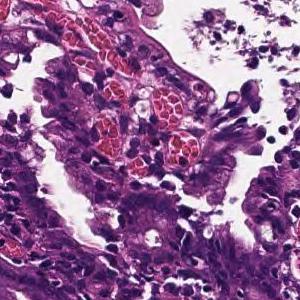
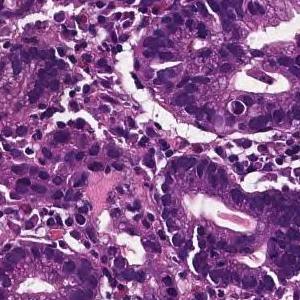
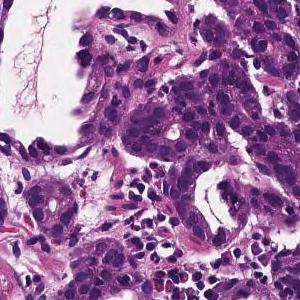
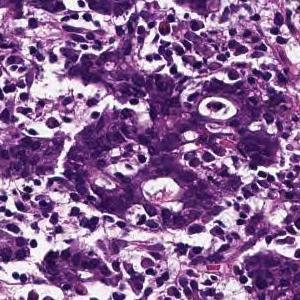
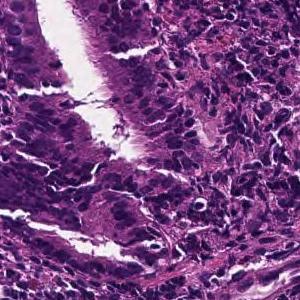
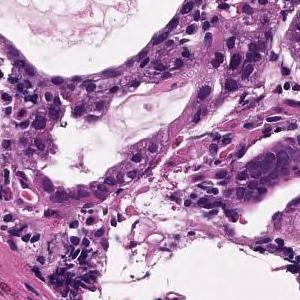
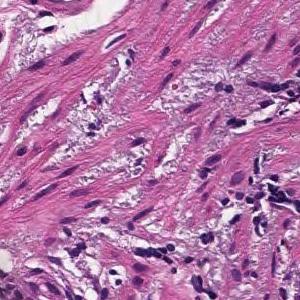
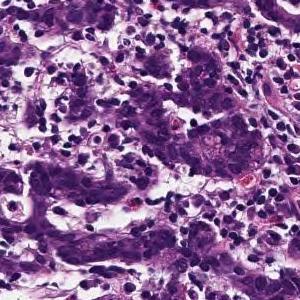
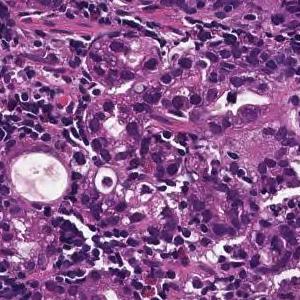
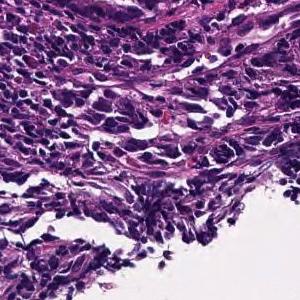
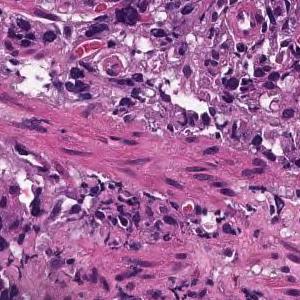
11 patches cut from one gastric biopsy slide · 300×300 px each · 20× magnification · H&E stain.
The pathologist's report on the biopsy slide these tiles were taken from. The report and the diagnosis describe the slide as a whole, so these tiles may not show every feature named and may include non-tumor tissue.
Tumor tissue consisting of medium-sized, cord-like or irregular glandular infiltration is observed in the superficial epithelium. Poorly differentiated adenocarcinoma, non-solid type or moderately differentiated tubular adenocarcinoma
Histological subtype: Moderately to poorly differentiated adenocarcinoma.
The term "non-solid type" comes from the Japanese Classification of Gastric Carcinoma.
